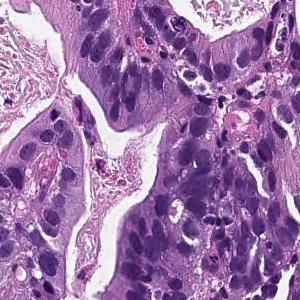
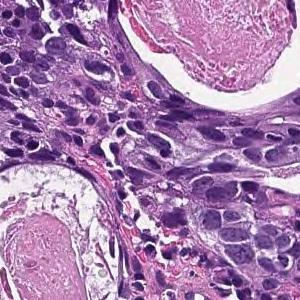
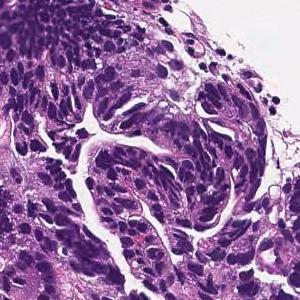
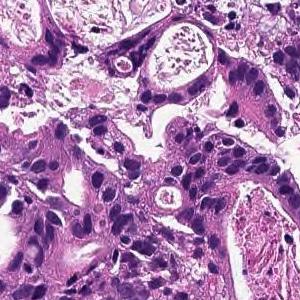
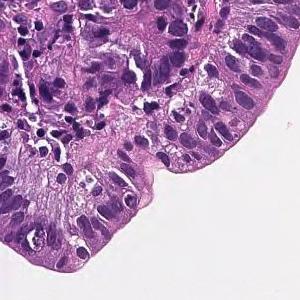
5 tiles from the same stomach biopsy slide · hematoxylin and eosin stain · 20× magnification.
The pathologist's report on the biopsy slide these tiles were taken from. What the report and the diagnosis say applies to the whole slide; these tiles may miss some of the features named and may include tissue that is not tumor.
In the superficial epithelium, tumor tissue that invades by forming medium-sized to small, irregular ducts is observed. moderately differentiated tubular adenocarcinoma.
